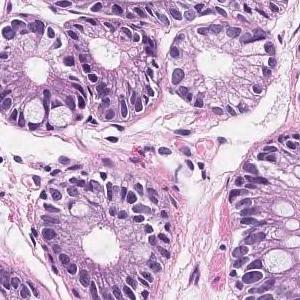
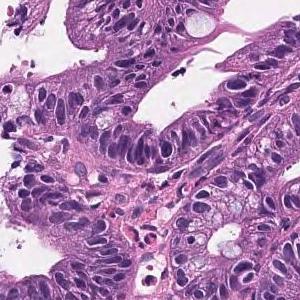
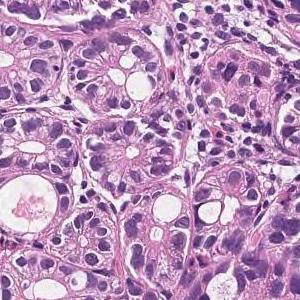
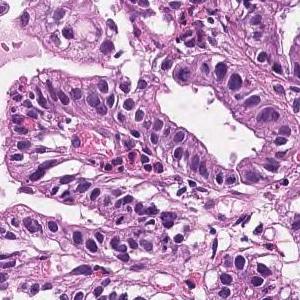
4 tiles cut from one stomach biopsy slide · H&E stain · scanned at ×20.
Pathology report for the slide these tiles were cut from. The report and the diagnosis describe the slide as a whole, so these tiles may not show every feature named and may include non-tumor tissue.
In the superficial epithelium, tumor tissue that invades by forming medium-sized to small, irregular ducts is observed. Well differentiated tubular adenocarcinoma.
